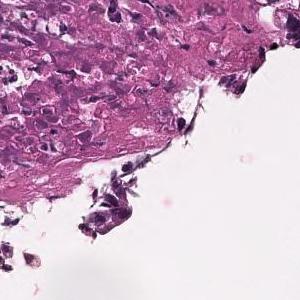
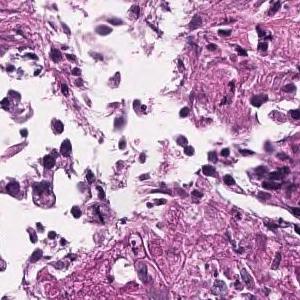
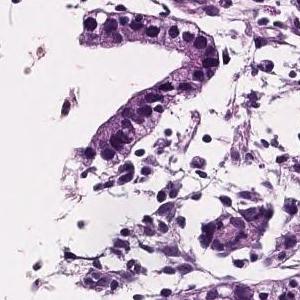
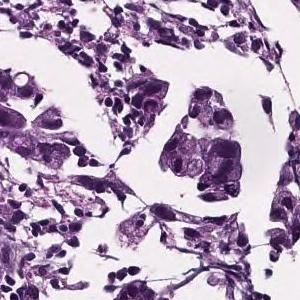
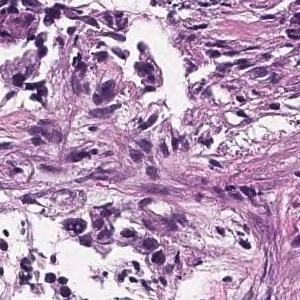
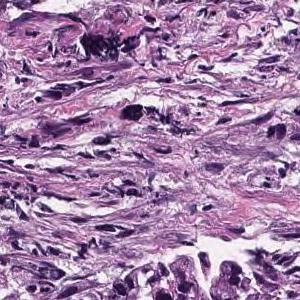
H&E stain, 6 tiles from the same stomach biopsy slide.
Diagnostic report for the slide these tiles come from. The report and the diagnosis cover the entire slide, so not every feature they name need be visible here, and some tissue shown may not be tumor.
In the superficial epithelium, tumor tissue that invades by forming medium-sized to small, irregular ducts is observed. moderately differentiated tubular adenocarcinoma.
